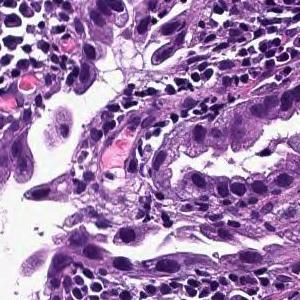
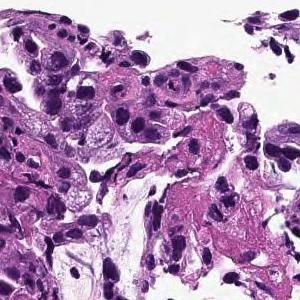
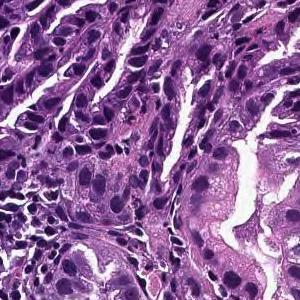
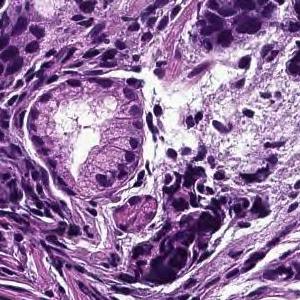
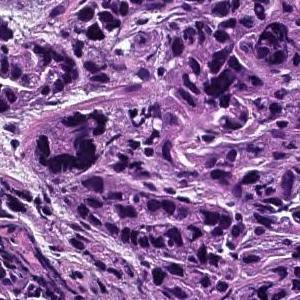
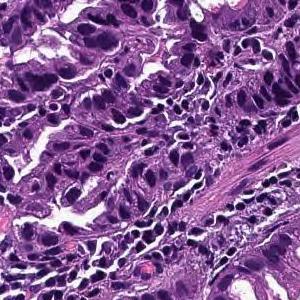
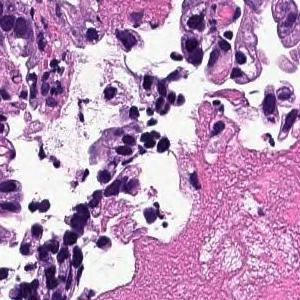
Hematoxylin and eosin stain, 20× magnification, 7 image tiles from a single gastric biopsy slide, each 300 × 300 pixels.
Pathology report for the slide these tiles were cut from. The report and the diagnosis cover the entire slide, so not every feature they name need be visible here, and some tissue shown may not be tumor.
Tumor cells are large, highly columnar, large club-shaped nuclei, and are associated with chromatin aggregation. Papillary adenocarcinoma.
